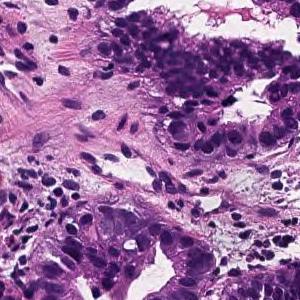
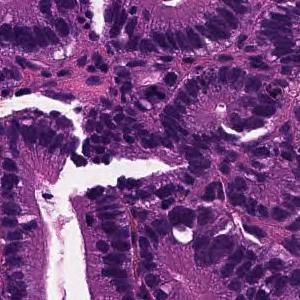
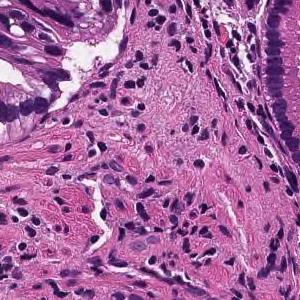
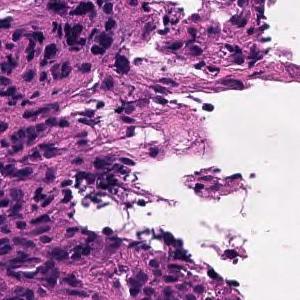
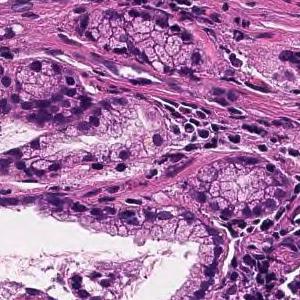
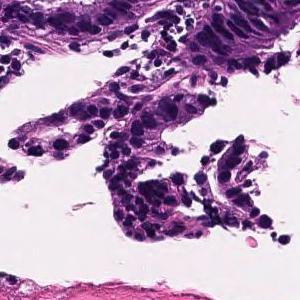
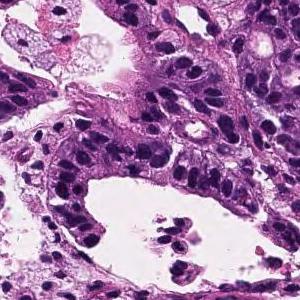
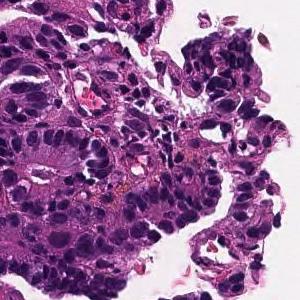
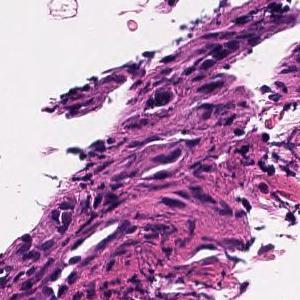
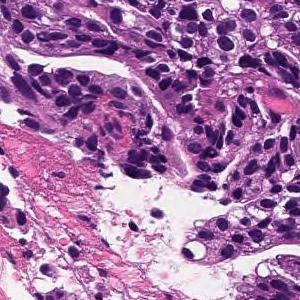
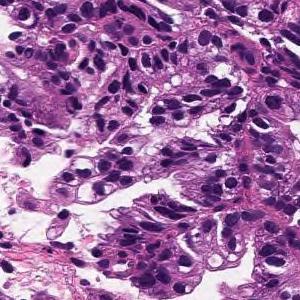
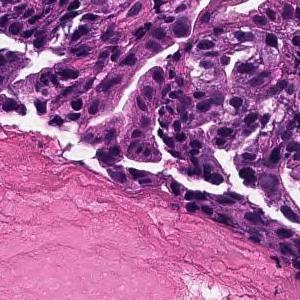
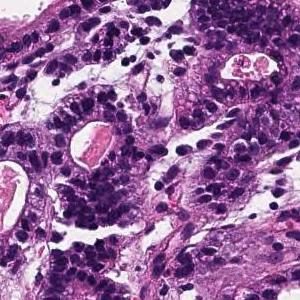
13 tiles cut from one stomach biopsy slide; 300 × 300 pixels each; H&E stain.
Pathology report for the slide these tiles were cut from. The findings and the diagnosis refer to the entire slide; these tiles show only part of it, possibly with non-tumor tissue, and may not show every feature named.
From the superficial epithelium to the muscularis mucosae, tumor tissue consisting of medium-sized and irregular glandular ducts infiltrating is observed. Well differentiated tubular adenocarcinoma
